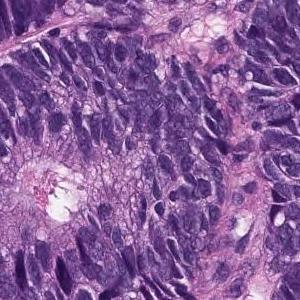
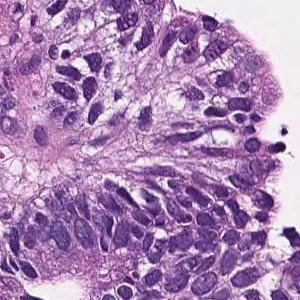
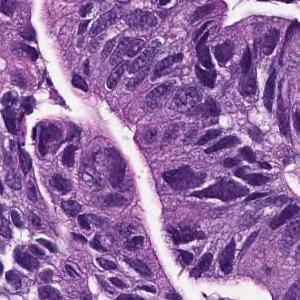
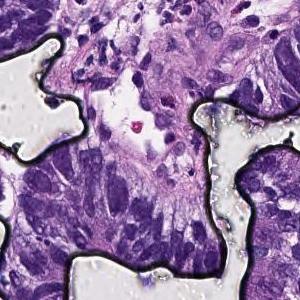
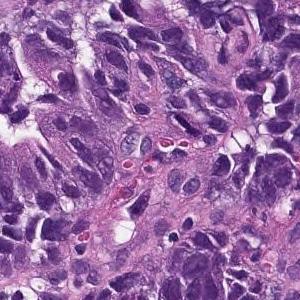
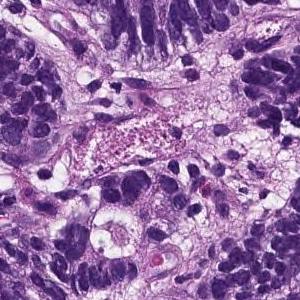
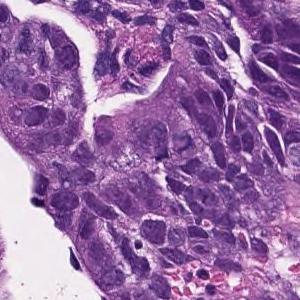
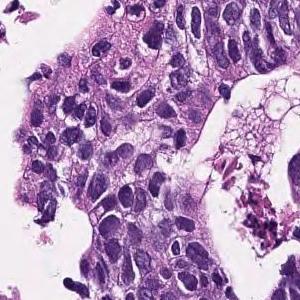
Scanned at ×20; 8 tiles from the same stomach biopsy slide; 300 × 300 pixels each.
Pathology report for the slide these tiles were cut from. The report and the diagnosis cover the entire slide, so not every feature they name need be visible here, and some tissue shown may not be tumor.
In the superficial epithelium, tumor tissue that invades by forming medium-sized to small, irregular ducts is observed. moderately differentiated tubular adenocarcinoma.
